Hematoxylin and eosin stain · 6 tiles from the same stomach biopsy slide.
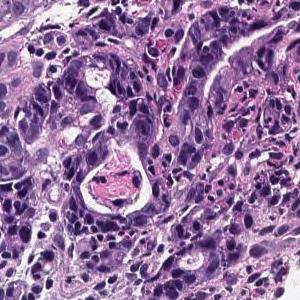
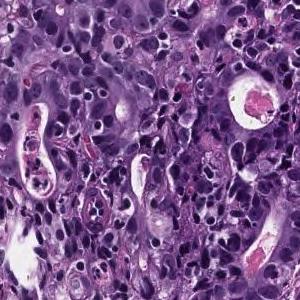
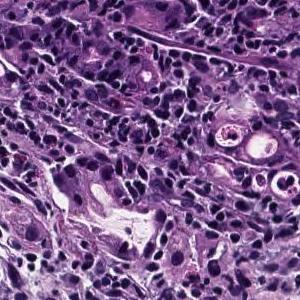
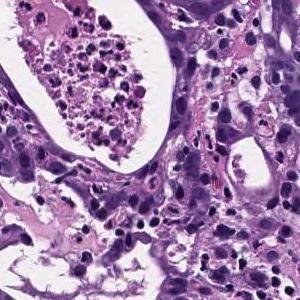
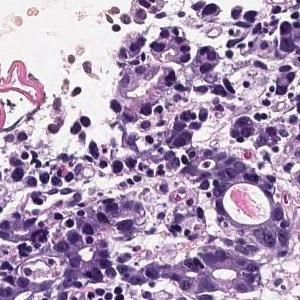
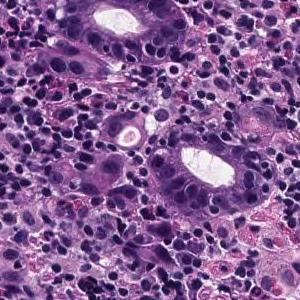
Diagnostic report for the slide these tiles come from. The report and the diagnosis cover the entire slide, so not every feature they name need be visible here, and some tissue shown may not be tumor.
In the superficial epithelium, tumor tissue that invades by forming medium-sized to small, irregular ducts is observed. moderately differentiated tubular adenocarcinoma.
